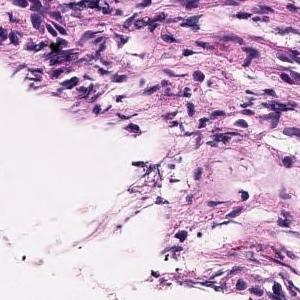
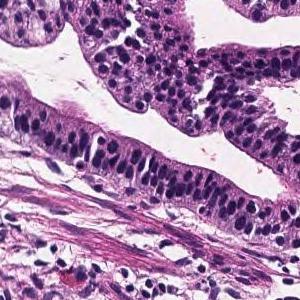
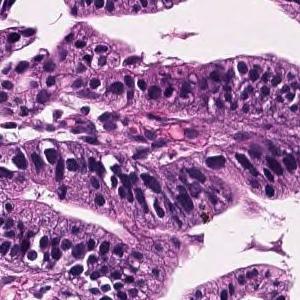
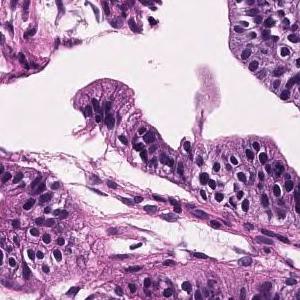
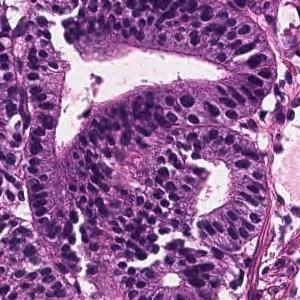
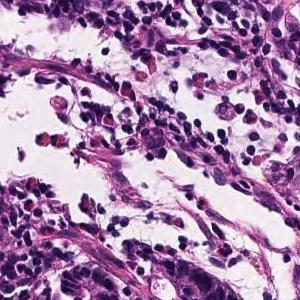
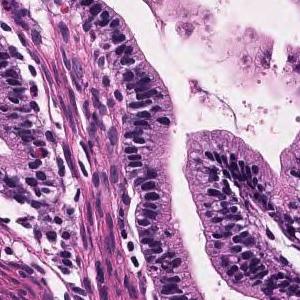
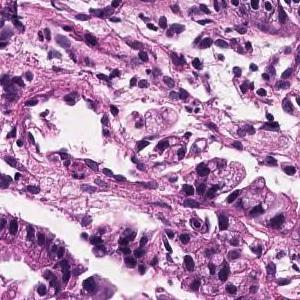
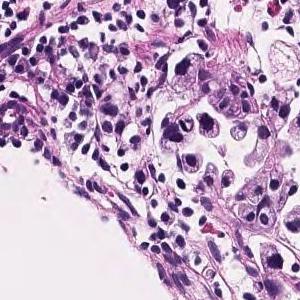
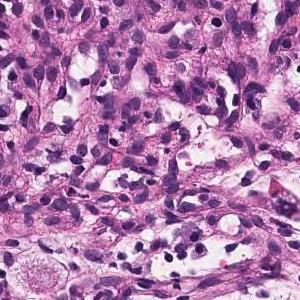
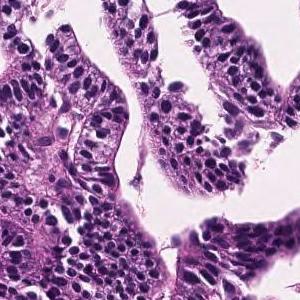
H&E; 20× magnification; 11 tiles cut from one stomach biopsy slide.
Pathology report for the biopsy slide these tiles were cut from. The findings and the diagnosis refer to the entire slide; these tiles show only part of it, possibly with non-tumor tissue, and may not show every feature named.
Tumor tissue consisting of large papillary structures or irregular glandular ducts partially fused and infiltrated is observed in the superficial epithelium. Well to moderately differentiated tubular adenocarcinoma.
Dataset label: moderately differentiated tubular adenocarcinoma.
